8 patches cut from one gastric biopsy slide; 300 × 300 pixels each; scanned at ×20; H&E.
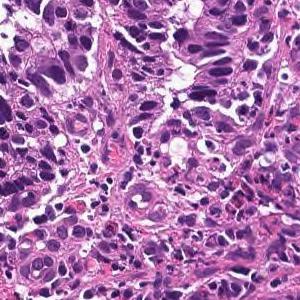
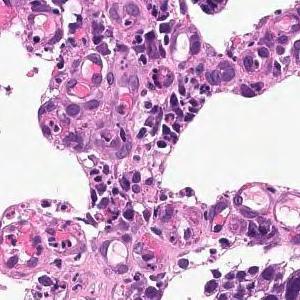
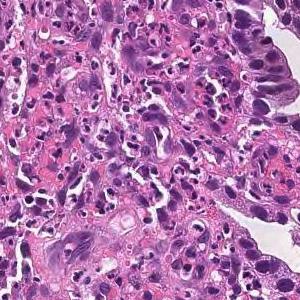
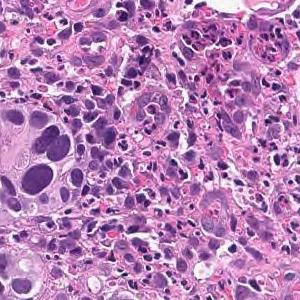
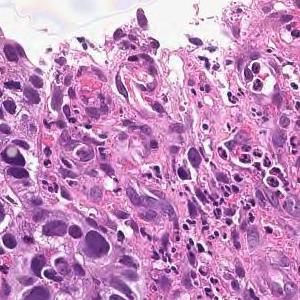
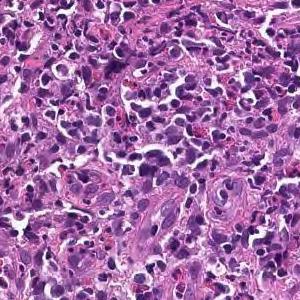
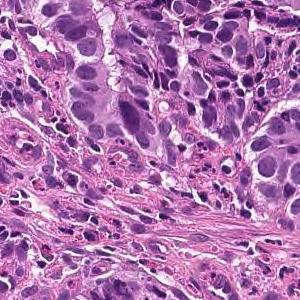
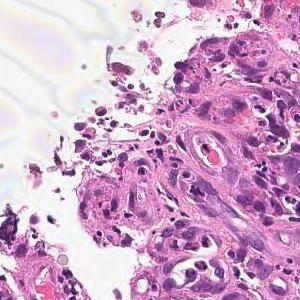
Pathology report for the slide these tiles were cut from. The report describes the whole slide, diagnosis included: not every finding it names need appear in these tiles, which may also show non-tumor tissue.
On the superficial epithelium, tumor tissue consisting of large irregular glandular ducts partially fused and infiltrated is observed. Well to moderately differentiated tubular adenocarcinoma (well differentiated tubular adenocarcinoma, moderately differentiated tubular adenocarcinoma)
Classified as well to moderately differentiated tubular adenocarcinoma.
